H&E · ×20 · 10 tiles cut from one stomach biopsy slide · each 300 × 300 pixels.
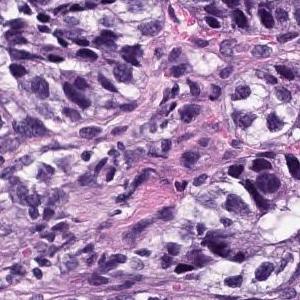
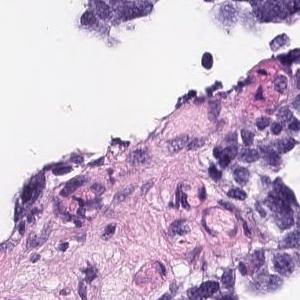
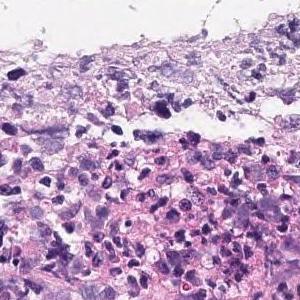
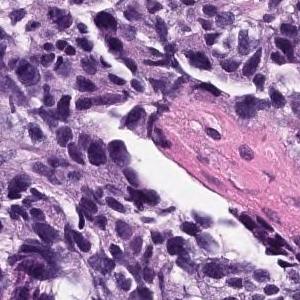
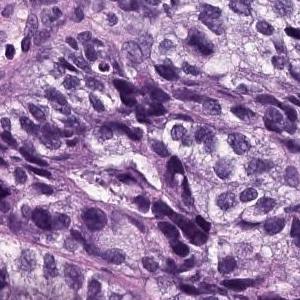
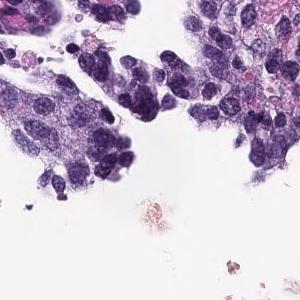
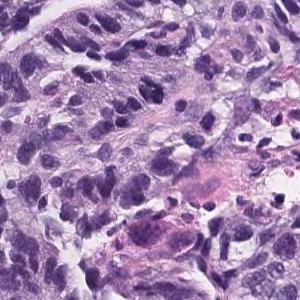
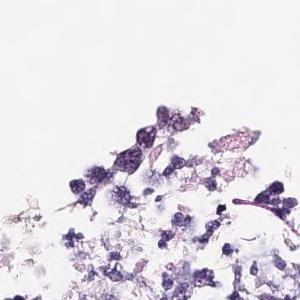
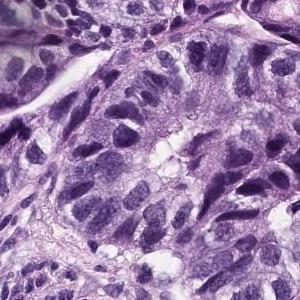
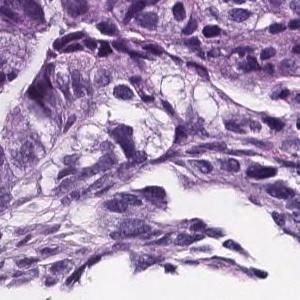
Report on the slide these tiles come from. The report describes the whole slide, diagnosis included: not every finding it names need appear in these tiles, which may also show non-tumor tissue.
The superficial epithelium shows a large sheet-like shape, and some tumor tissue infiltrates with small irregular ducts. Poorly differentiated adenocarcinoma, solid-type
Histologic type: Poorly differentiated adenocarcinoma, solid type. This name comes from the Japanese Classification of Gastric Carcinoma; the WHO 2019 classification calls it tubular adenocarcinoma, poorly differentiated.
